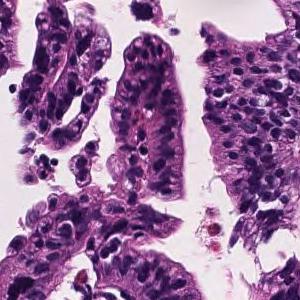
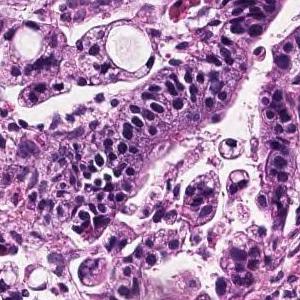
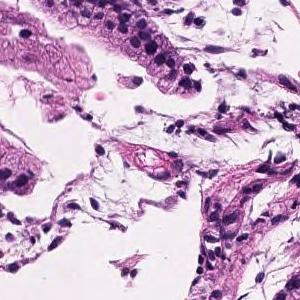
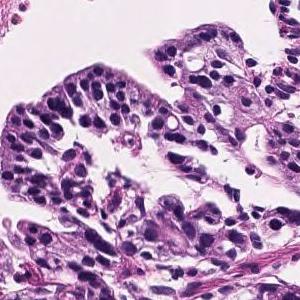
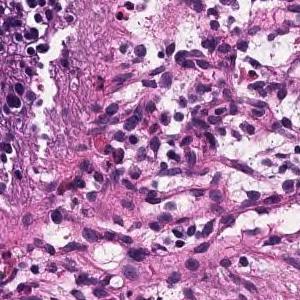
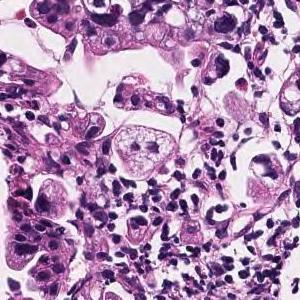
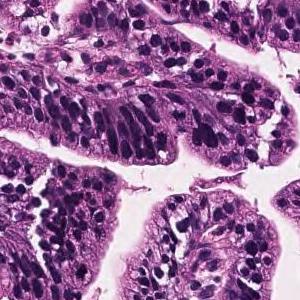
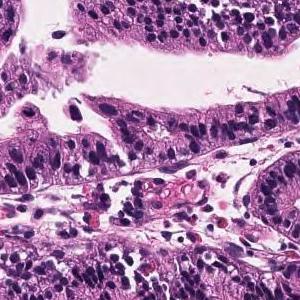
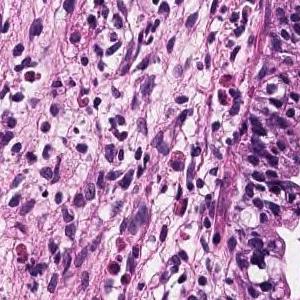
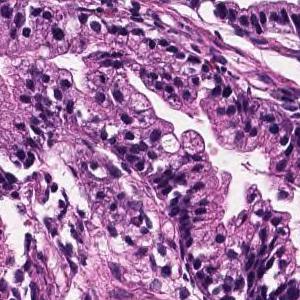
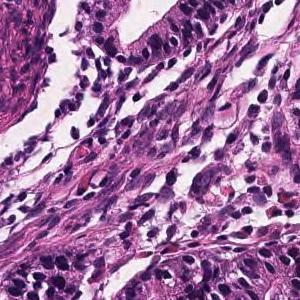
Hematoxylin and eosin stain, 11 patches cut from one gastric biopsy slide.
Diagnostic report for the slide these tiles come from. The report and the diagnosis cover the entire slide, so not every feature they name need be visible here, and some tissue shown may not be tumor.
Tumor tissue consisting of large papillary structures or irregular glandular ducts partially fused and infiltrated is observed in the superficial epithelium. Well to moderately differentiated tubular adenocarcinoma.
Labeled in the dataset as moderately differentiated tubular adenocarcinoma.
